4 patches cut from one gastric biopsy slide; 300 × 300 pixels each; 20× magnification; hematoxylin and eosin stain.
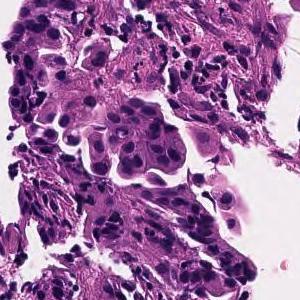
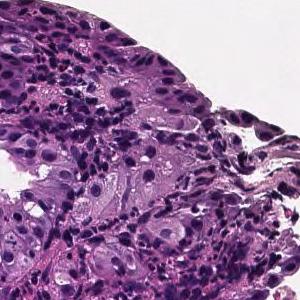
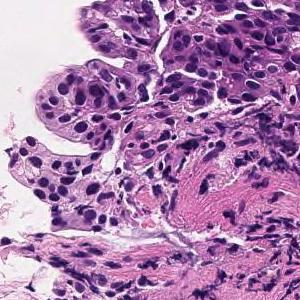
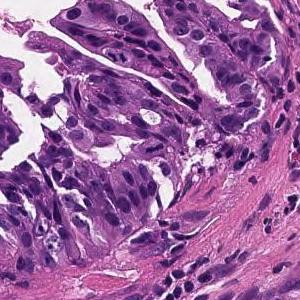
Report on the slide these tiles come from. The findings and the diagnosis refer to the entire slide; these tiles show only part of it, possibly with non-tumor tissue, and may not show every feature named.
On the superficial epithelium, tumor tissue consisting of large, irregular glandular ducts partially fused and infiltrated is observed. Well to moderately differentiated tubular adenocarcinoma (well differentiated tubular adenocarcinoma, moderately differentiated tubular adenocarcinoma)
Classified as well to moderately differentiated tubular adenocarcinoma.
